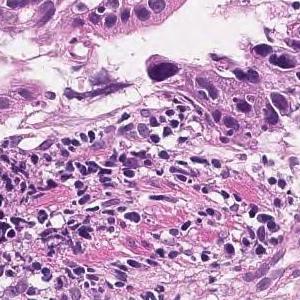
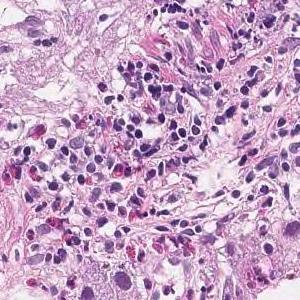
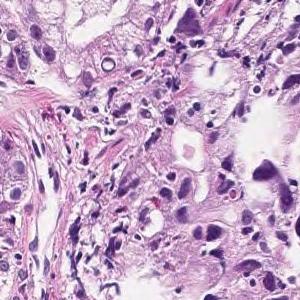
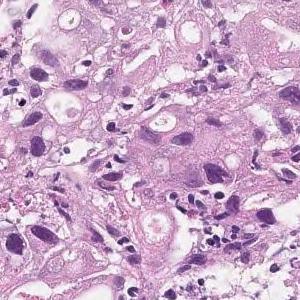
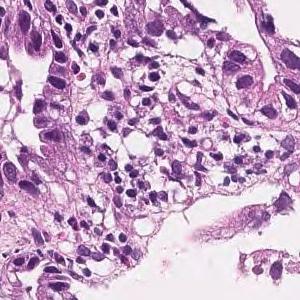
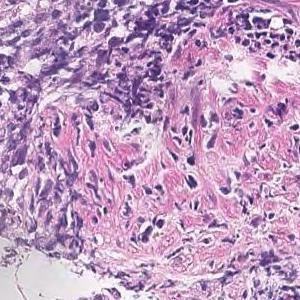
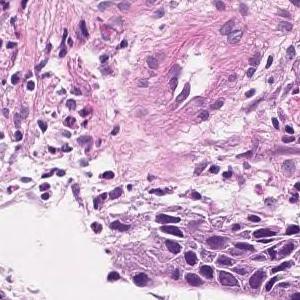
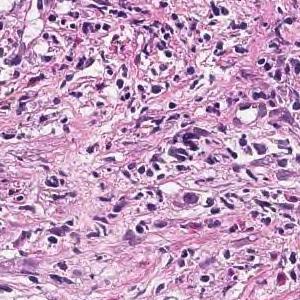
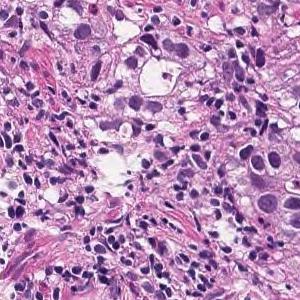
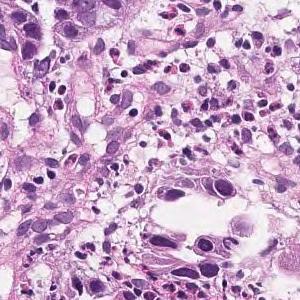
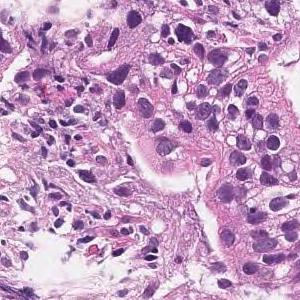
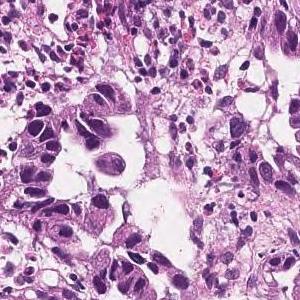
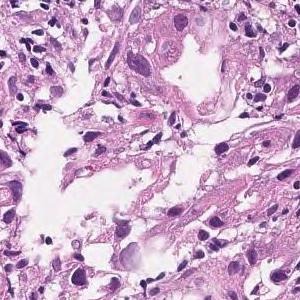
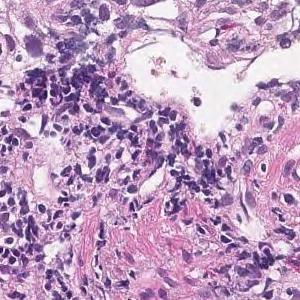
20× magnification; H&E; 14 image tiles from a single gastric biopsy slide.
The pathologist's report on the biopsy slide these tiles were taken from. The report and the diagnosis describe the slide as a whole, so these tiles may not show every feature named and may include non-tumor tissue.
In the superficial epithelium, tumor tissue that invades by forming medium-sized to small, irregular ducts is observed. moderately differentiated tubular adenocarcinoma.
